16 tiles from the same stomach biopsy slide · scanned at ×20 · H&E stain.
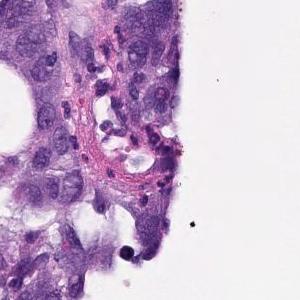
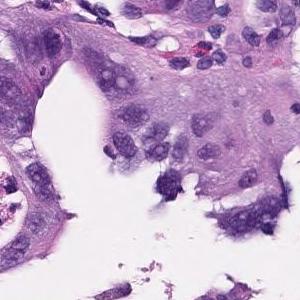
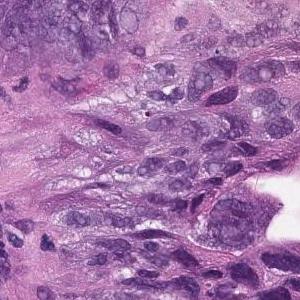
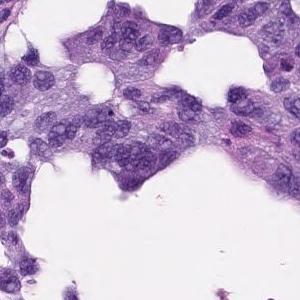
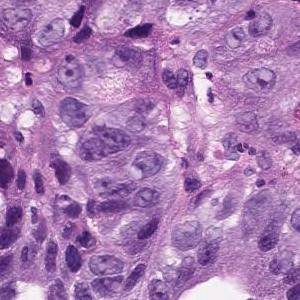
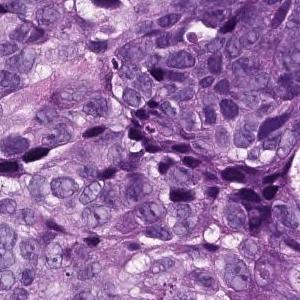
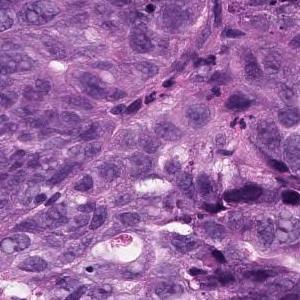
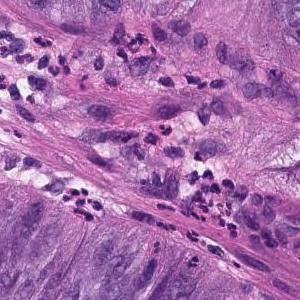
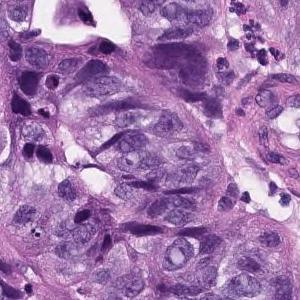
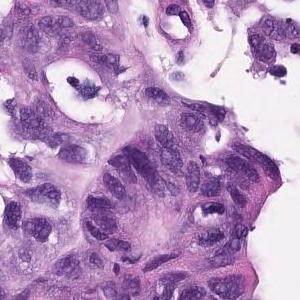
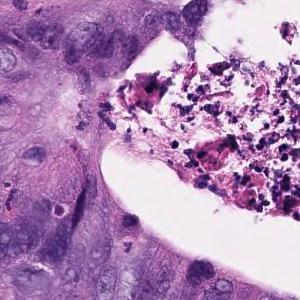
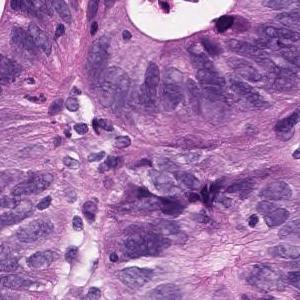
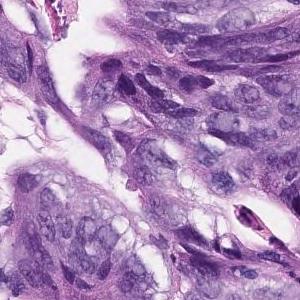
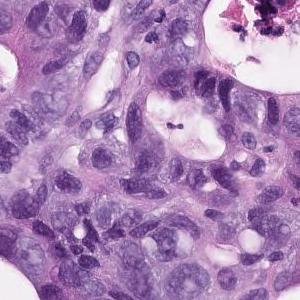
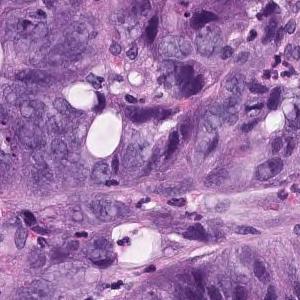
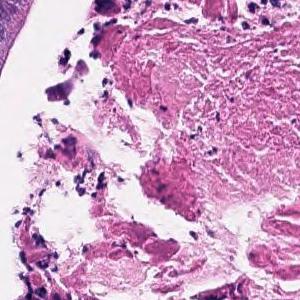
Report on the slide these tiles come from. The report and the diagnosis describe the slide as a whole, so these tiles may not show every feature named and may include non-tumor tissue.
In the superficial epithelium, tumor tissue that invades by forming medium-sized to small, irregular ducts is observed. Moderately differentiated adenocarcinoma.
Histologic type: Moderately differentiated tubular adenocarcinoma.
